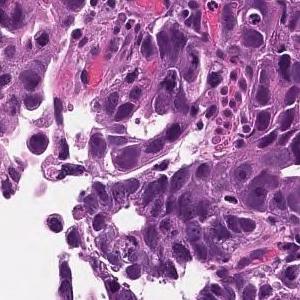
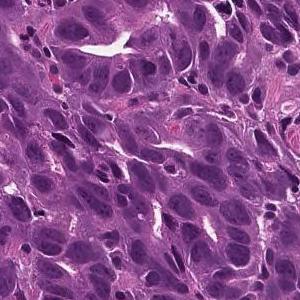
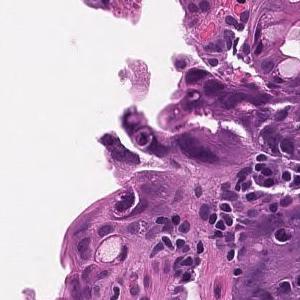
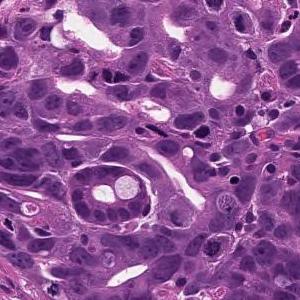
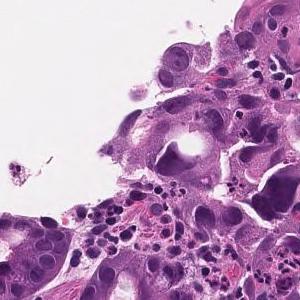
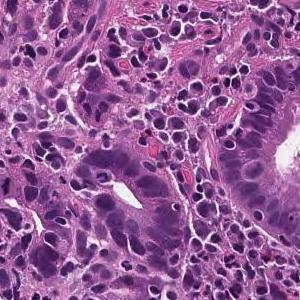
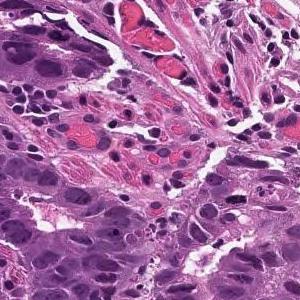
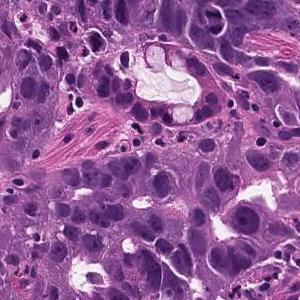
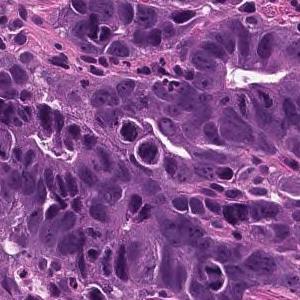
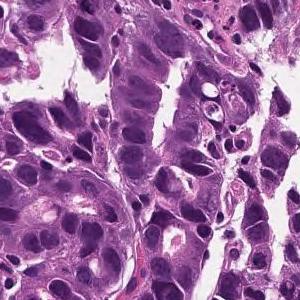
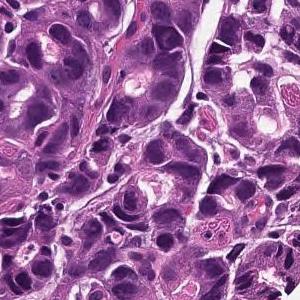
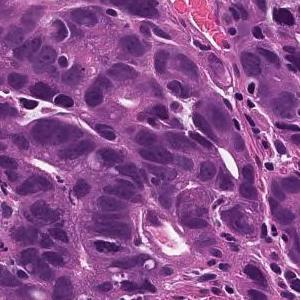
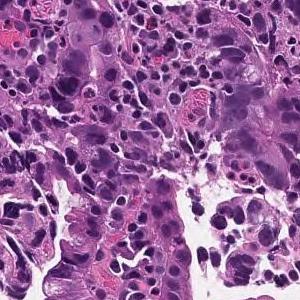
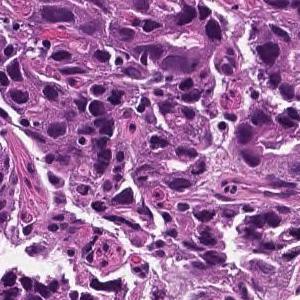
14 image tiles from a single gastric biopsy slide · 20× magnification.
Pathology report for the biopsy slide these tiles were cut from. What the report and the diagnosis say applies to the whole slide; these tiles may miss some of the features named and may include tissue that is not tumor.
On the superficial epithelium, tumor tissue is found in which medium-sized irregular gland ducts fuse with each other and infiltrate. moderately differentiated tubular adenocarcinoma
